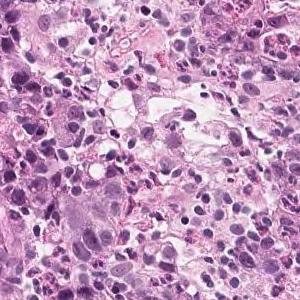
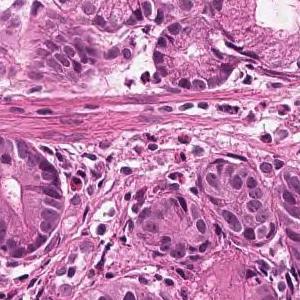
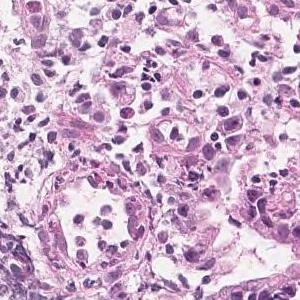
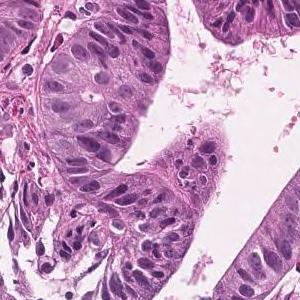
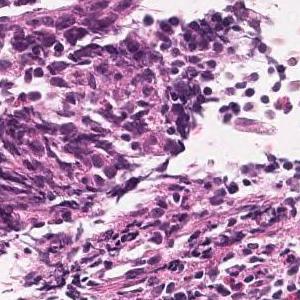
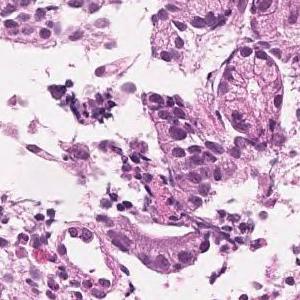
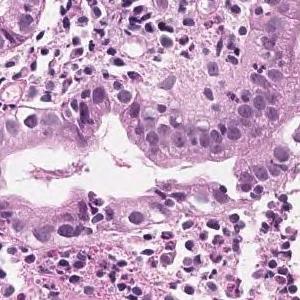
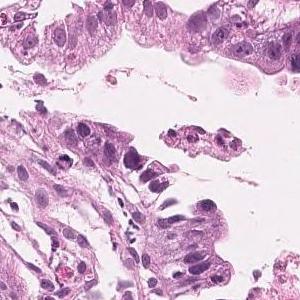
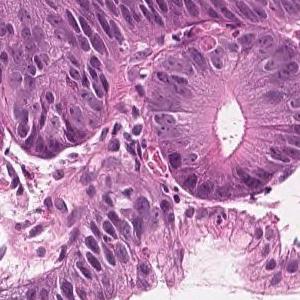
H&E stain, scanned at ×20, 9 tiles from the same stomach biopsy slide, 300×300 px each.
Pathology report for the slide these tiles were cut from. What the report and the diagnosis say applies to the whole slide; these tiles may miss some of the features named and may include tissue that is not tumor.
On the superficial epithelium, tumor tissue consisting of large, irregular glandular ducts partially fused and infiltrated is observed. Well to moderately differentiated tubular adenocarcinoma (well differentiated tubular adenocarcinoma, moderately differentiated tubular adenocarcinoma)
Histological subtype: Well to moderately differentiated tubular adenocarcinoma.
